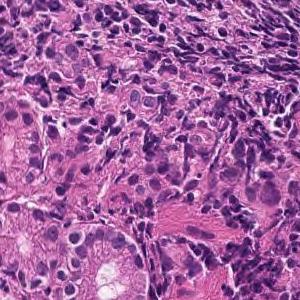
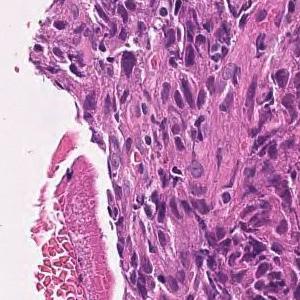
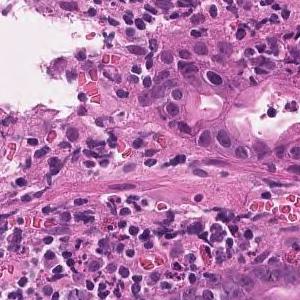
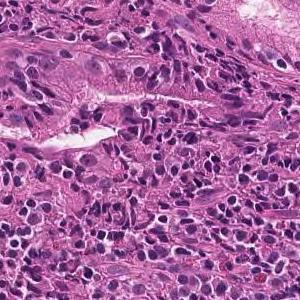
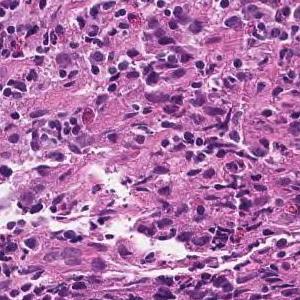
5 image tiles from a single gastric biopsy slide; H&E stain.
The pathologist's report on the biopsy slide these tiles were taken from. The report and the diagnosis describe the slide as a whole, so these tiles may not show every feature named and may include non-tumor tissue.
Tumor tissue consisting of medium-sized, cord-like or irregular glandular infiltration is observed in the superficial epithelium. Poorly differentiated adenocarcinoma, non-solid type or moderately differentiated tubular adenocarcinoma
Dataset label: poorly differentiated adenocarcinoma, non-solid type.
The term "non-solid type" comes from the Japanese Classification of Gastric Carcinoma.
